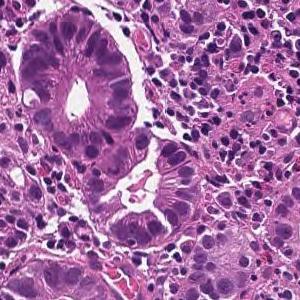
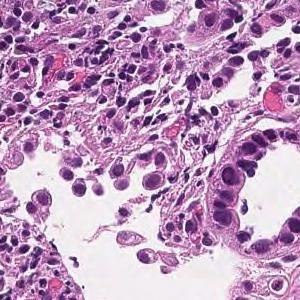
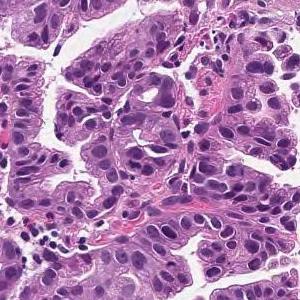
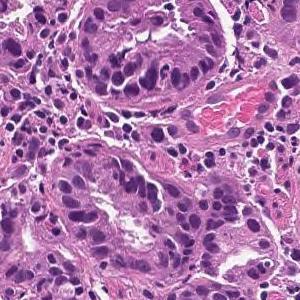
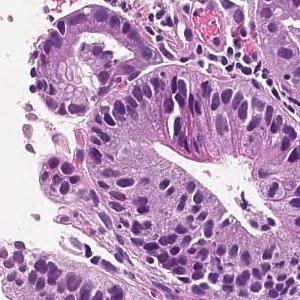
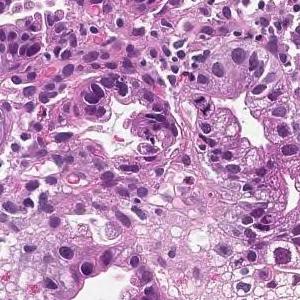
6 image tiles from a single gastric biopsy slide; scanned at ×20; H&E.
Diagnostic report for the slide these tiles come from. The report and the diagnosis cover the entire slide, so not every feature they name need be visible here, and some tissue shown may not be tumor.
On the superficial epithelium, tumor tissue consisting of large irregular glandular ducts partially fused and infiltrated is observed. Well to moderately differentiated tubular adenocarcinoma (well differentiated tubular adenocarcinoma, moderately differentiated tubular adenocarcinoma)
Histological subtype: Well to moderately differentiated tubular adenocarcinoma.
